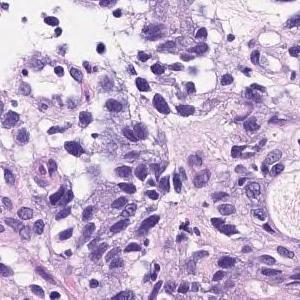
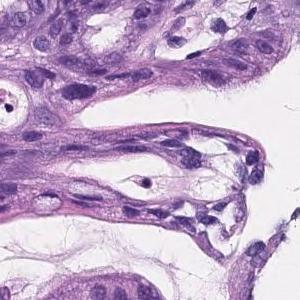
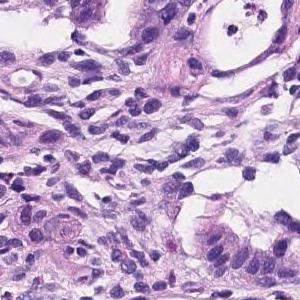
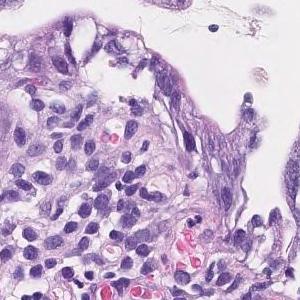
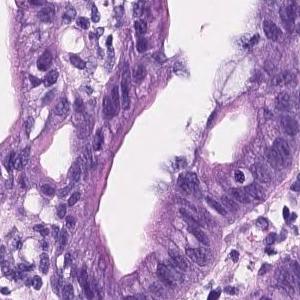
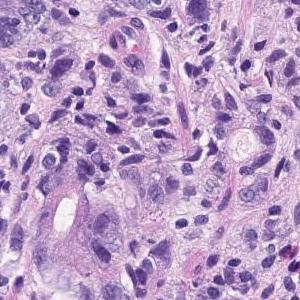
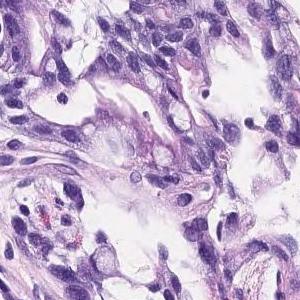
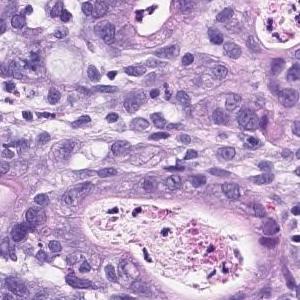
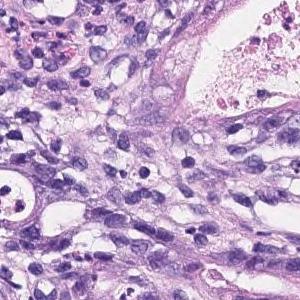
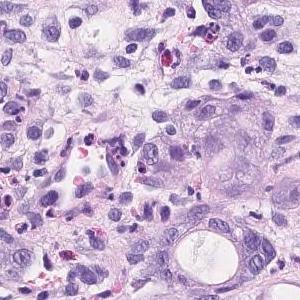
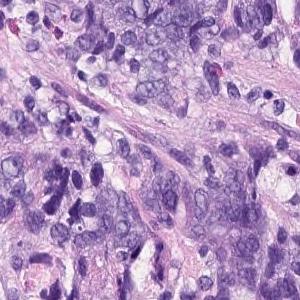
Scanned at ×20 · H&E stain · 11 patches cut from one gastric biopsy slide · 300 × 300 pixels each.
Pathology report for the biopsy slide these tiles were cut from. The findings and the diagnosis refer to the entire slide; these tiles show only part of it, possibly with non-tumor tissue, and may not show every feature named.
Irregularly fused atypical ducts proliferating while replacing existing ducts was observed. moderately differentiated tubular adenocarcinoma
